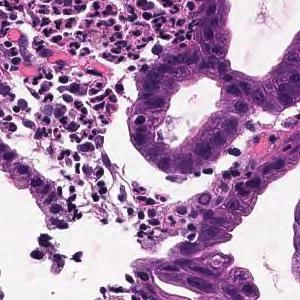
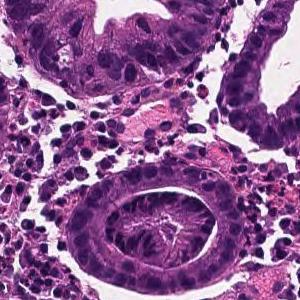
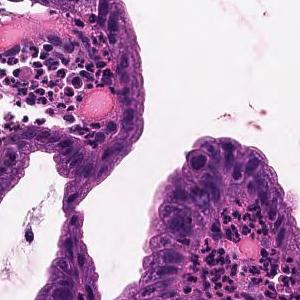
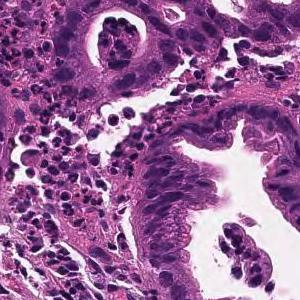
Scanned at ×20; 4 tiles cut from one stomach biopsy slide.
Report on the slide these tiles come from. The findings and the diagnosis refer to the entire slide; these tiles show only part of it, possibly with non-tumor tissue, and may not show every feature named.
From the superficial epithelium to the muscularis mucosae, tumor tissue consisting of medium-sized and irregular glandular ducts infiltrating is observed. Well differentiated tubular adenocarcinoma
